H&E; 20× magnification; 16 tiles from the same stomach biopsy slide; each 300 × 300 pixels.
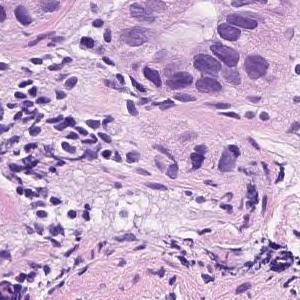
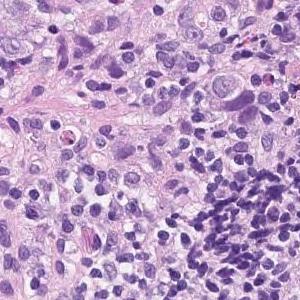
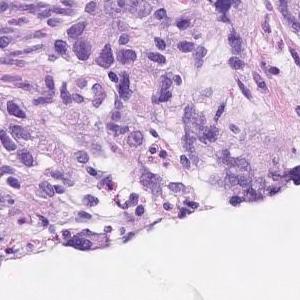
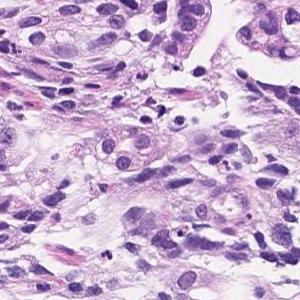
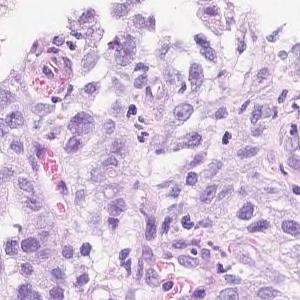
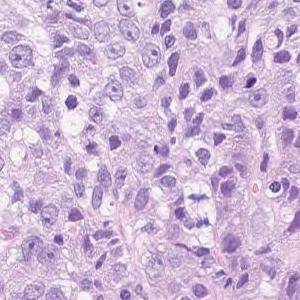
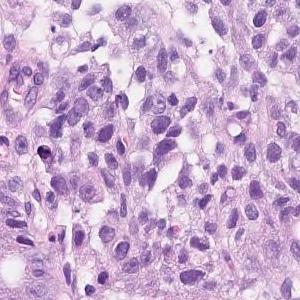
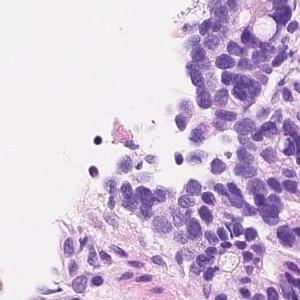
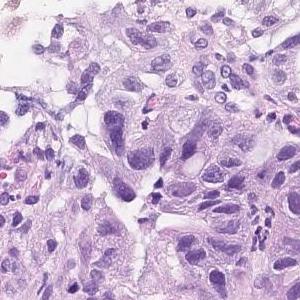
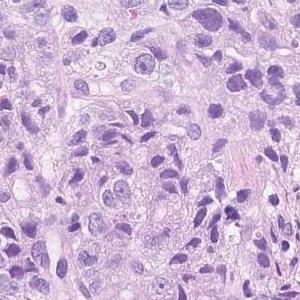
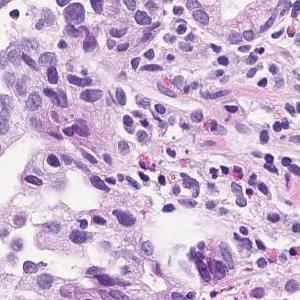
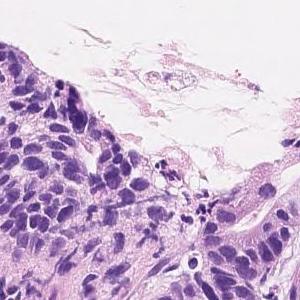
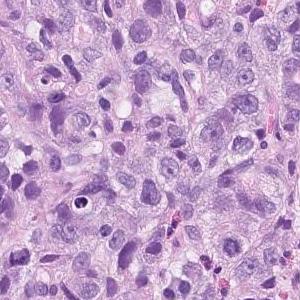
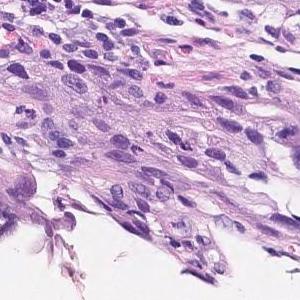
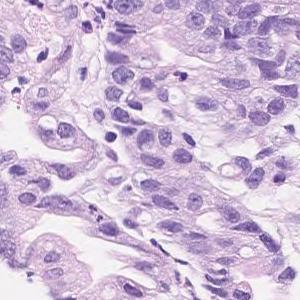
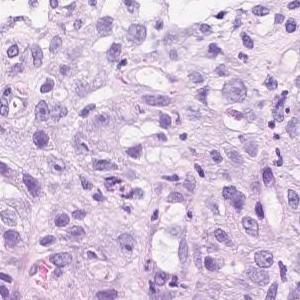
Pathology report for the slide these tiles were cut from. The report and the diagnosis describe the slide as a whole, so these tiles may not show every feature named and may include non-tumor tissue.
In the superficial epithelium, tumor tissue that invades by forming medium-sized to small, irregular ducts is observed. Moderately to poorly differentiated adenocarcinoma
